H&E · ×20 · 10 tiles cut from one stomach biopsy slide · each 300 × 300 pixels.
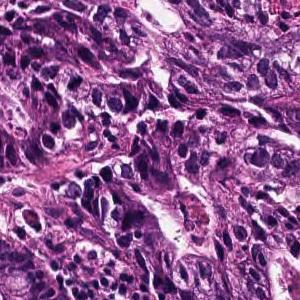
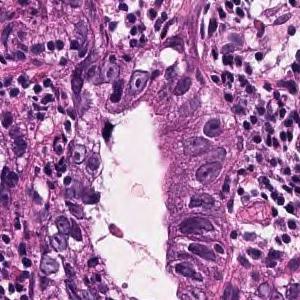
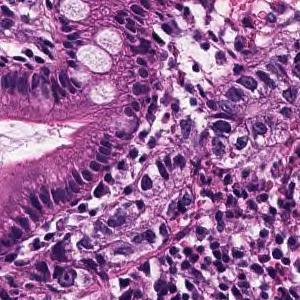
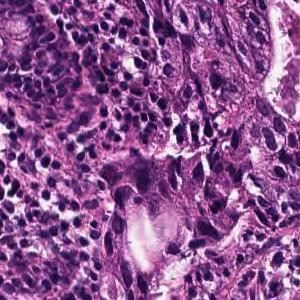
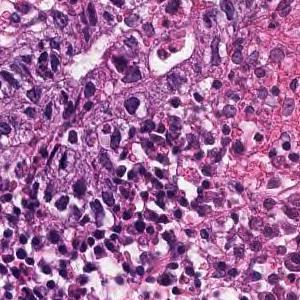
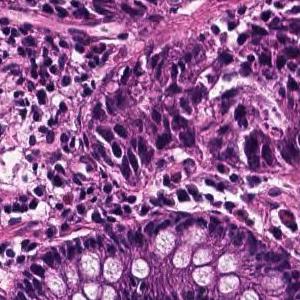
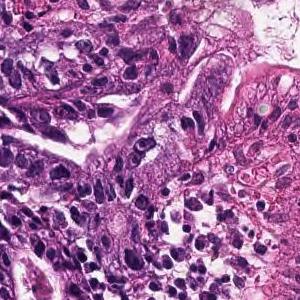
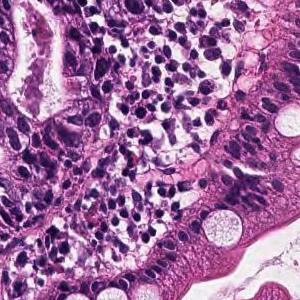
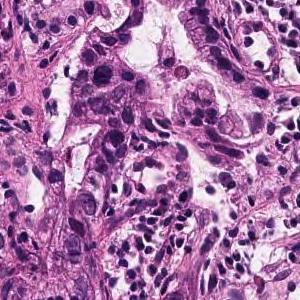
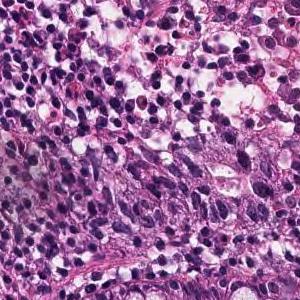
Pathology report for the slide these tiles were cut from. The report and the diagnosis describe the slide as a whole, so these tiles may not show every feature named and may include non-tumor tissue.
In the lamina propria, tumor tissue consisting of medium-sized and irregular glandular ducts partially fused and infiltrated is observed. moderately differentiated tubular adenocarcinoma
